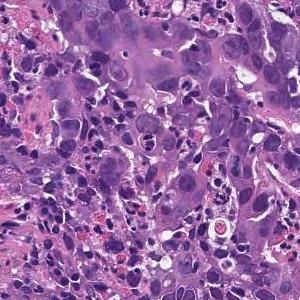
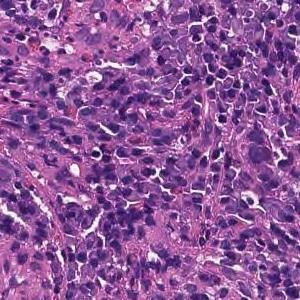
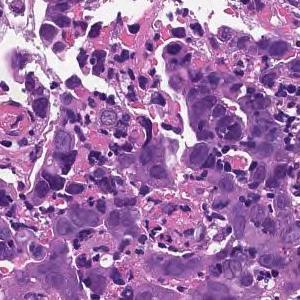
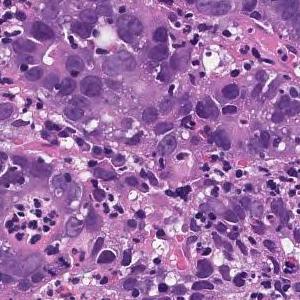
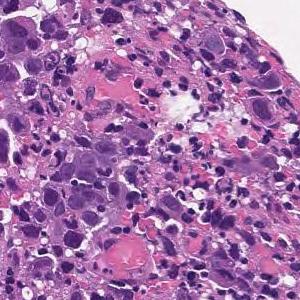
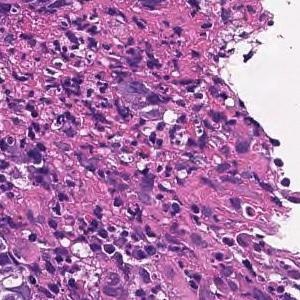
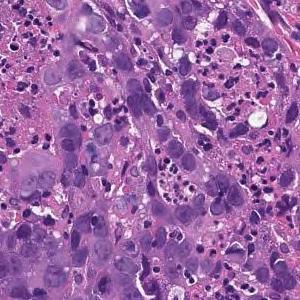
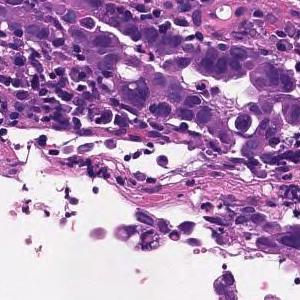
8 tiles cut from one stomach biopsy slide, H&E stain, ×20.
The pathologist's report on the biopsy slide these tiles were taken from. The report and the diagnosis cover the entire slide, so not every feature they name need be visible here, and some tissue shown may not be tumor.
Tumor tissue consisting of cord-like or small, irregular glandular ducts fused and infiltrated is observed in the superficial epithelium. Poorly differentiated adenocarcinoma, non-solid type
The non-solid type named here is a Japanese Classification of Gastric Carcinoma category.
